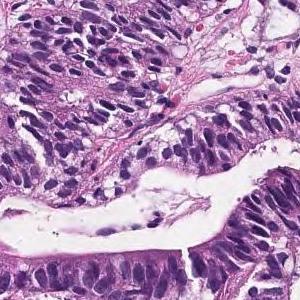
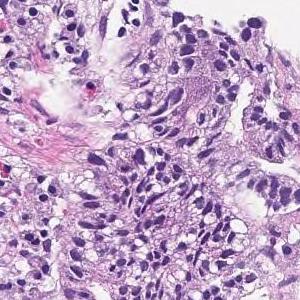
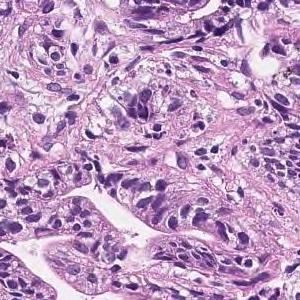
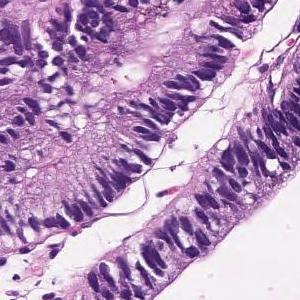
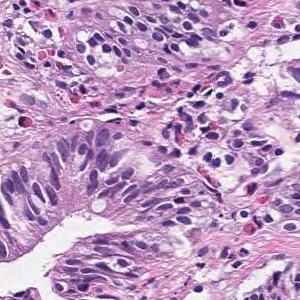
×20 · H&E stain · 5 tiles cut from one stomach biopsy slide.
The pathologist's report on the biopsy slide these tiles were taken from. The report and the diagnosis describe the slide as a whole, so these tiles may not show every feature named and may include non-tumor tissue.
In the superficial epithelium, tumor tissue that invades by forming medium-sized to small, irregular ducts is observed. Moderately differentiated adenocarcinoma.
Histological subtype: Moderately differentiated tubular adenocarcinoma.
